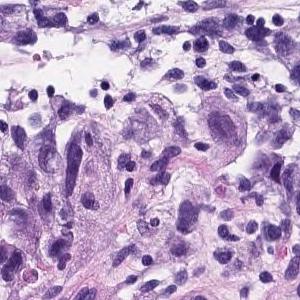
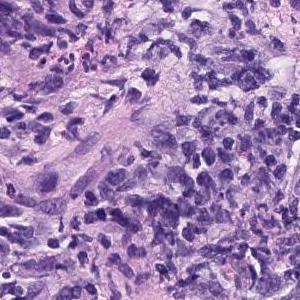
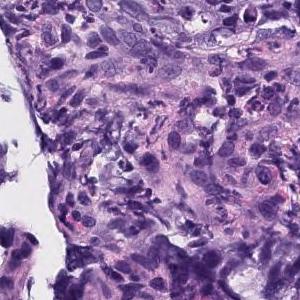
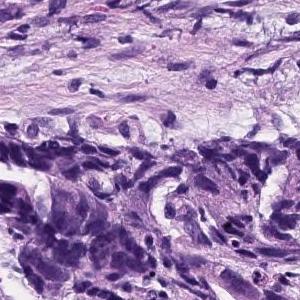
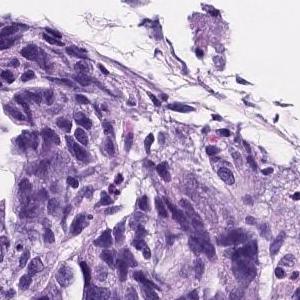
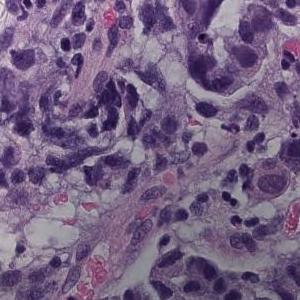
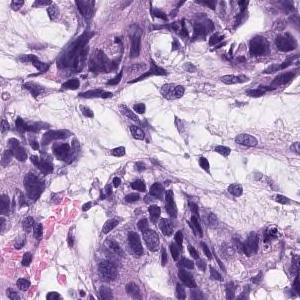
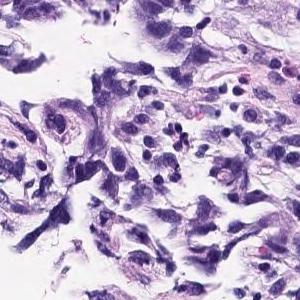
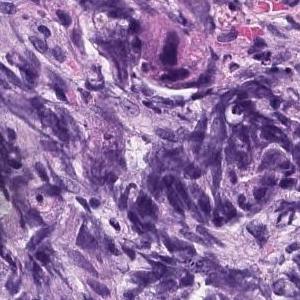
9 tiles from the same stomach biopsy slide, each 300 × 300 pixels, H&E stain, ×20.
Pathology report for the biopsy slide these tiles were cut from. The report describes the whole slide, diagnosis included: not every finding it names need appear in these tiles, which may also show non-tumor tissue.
Atypical epithelial cells with an increased N/C ratio proliferate and consist of a part that shows the formation of gland ducts and a part that shows solid growth. Poorly differentiated adenocarcinoma, solid-type
Subtype: Poorly differentiated adenocarcinoma, solid type (Japanese Classification of Gastric Carcinoma). The WHO 2019 equivalent is tubular adenocarcinoma, poorly differentiated.
